15 patches cut from one gastric biopsy slide · each 300 × 300 pixels · hematoxylin and eosin stain · 20× magnification.
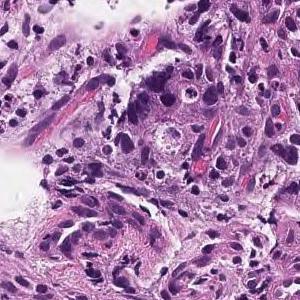
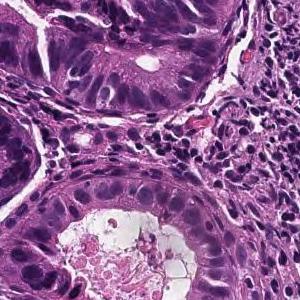
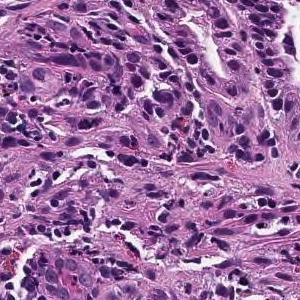
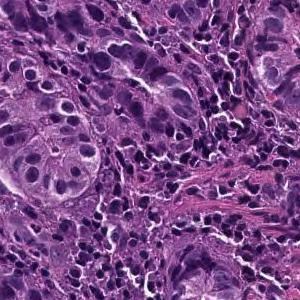
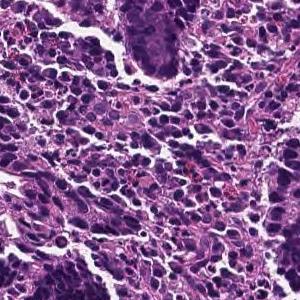
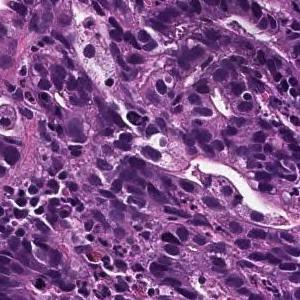
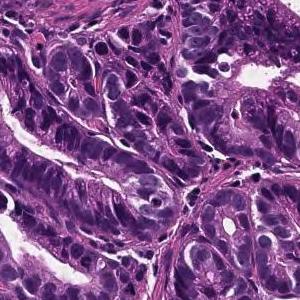
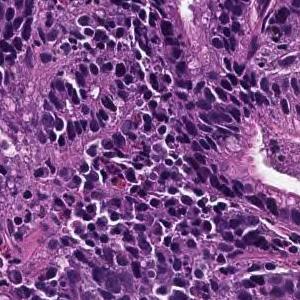
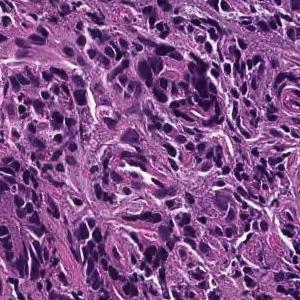
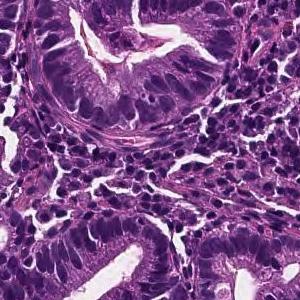
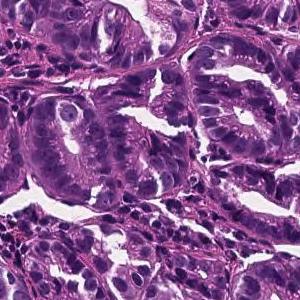
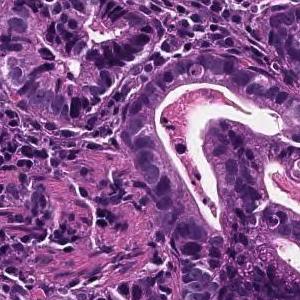
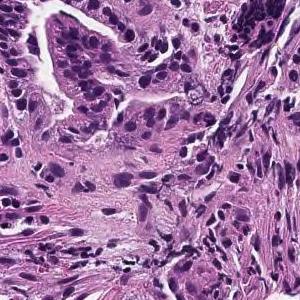
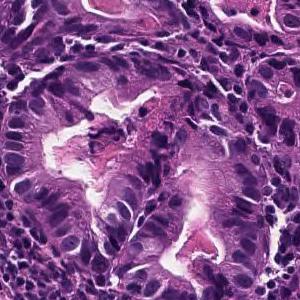
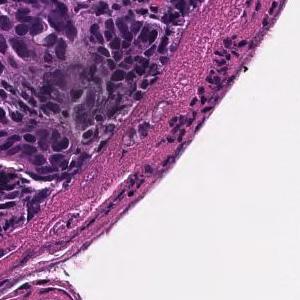
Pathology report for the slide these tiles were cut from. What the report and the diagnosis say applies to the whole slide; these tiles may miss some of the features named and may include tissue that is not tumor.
On the superficial epithelium, tumor tissue consisting of large irregular glandular ducts partially fused and infiltrated is observed. Well to moderately differentiated tubular adenocarcinoma (well differentiated tubular adenocarcinoma, moderately differentiated tubular adenocarcinoma)
Tumor subtype: well to moderately differentiated tubular adenocarcinoma.
